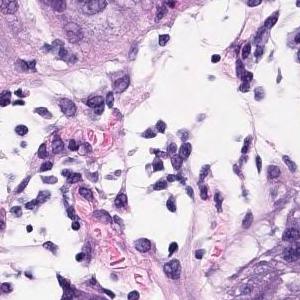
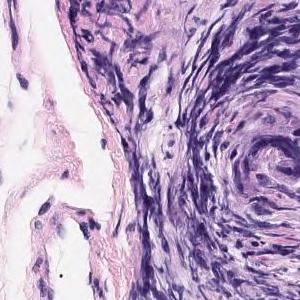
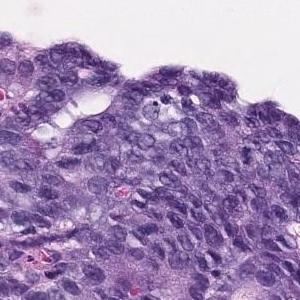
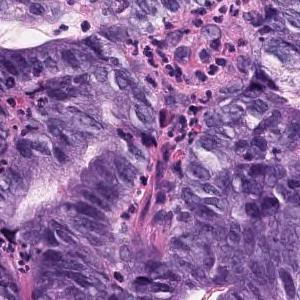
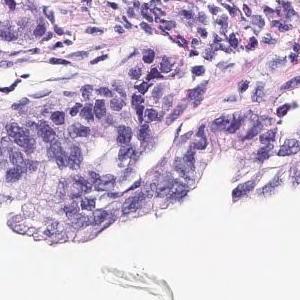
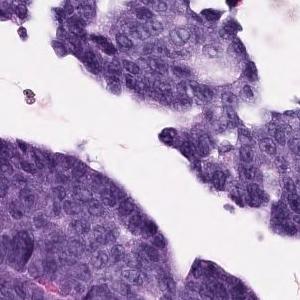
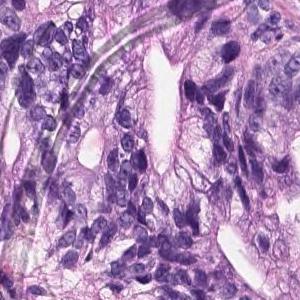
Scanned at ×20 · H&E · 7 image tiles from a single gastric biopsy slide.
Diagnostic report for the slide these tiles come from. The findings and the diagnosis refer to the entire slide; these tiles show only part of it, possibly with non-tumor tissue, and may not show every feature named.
In the superficial epithelium, tumor tissue that invades by forming medium-sized to small, irregular ducts is observed. Well to moderately differentiated tubular adenocarcinoma.
